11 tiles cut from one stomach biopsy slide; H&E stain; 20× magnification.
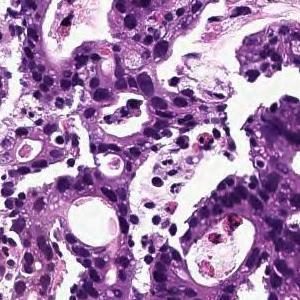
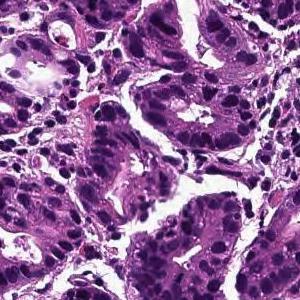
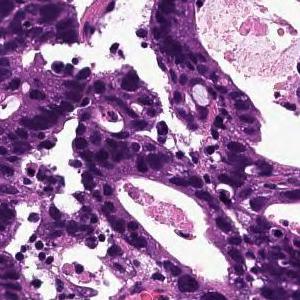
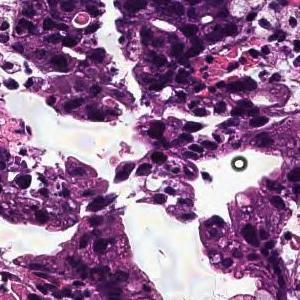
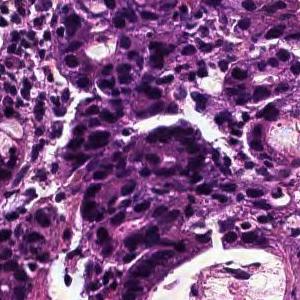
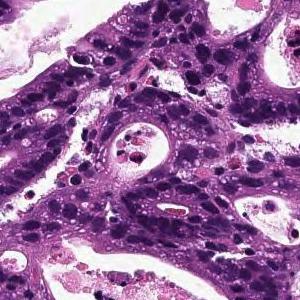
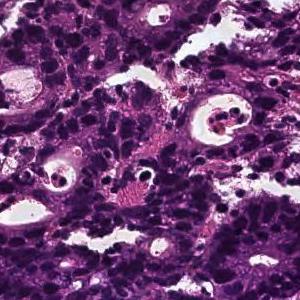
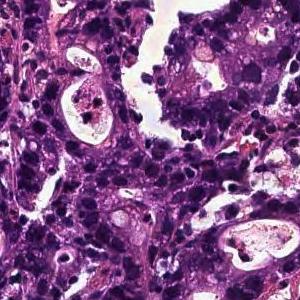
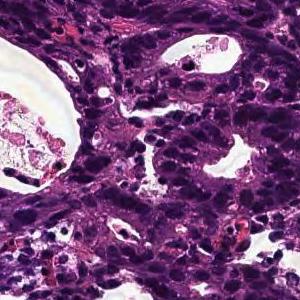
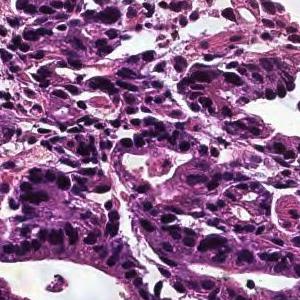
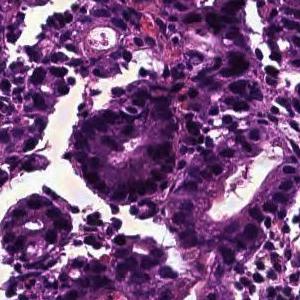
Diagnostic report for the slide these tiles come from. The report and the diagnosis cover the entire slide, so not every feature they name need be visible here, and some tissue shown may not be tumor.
In the superficial epithelium, tumor tissue that invades by forming medium-sized to small, irregular ducts is observed. moderately differentiated tubular adenocarcinoma.
